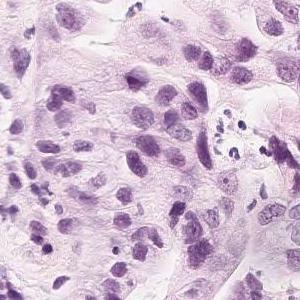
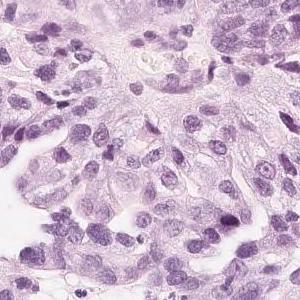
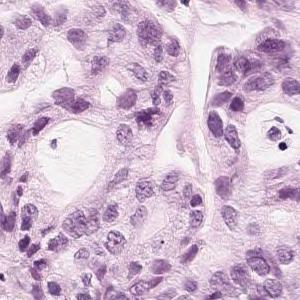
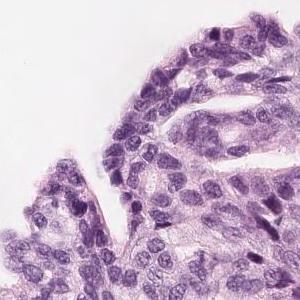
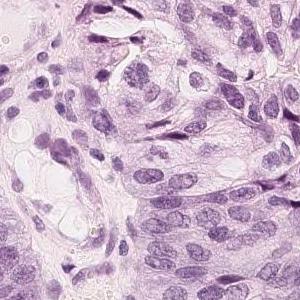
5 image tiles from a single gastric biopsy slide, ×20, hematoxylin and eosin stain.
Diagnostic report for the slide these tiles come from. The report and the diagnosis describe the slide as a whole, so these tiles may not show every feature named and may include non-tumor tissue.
Tumor tissue in which medium-sized atypical epithelial cells with a large N/C ratio grow densely while becoming alveolar to cord-like with duct formation is observed. moderately differentiated tubular adenocarcinoma
